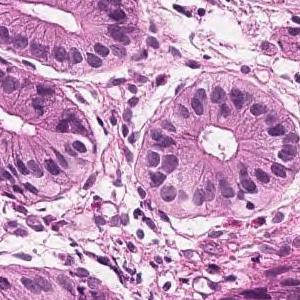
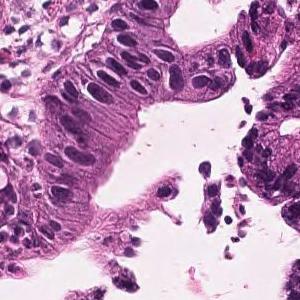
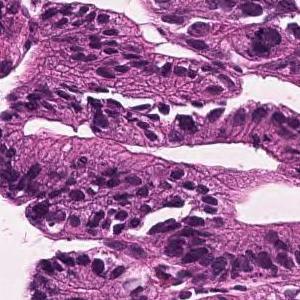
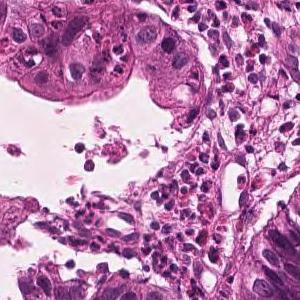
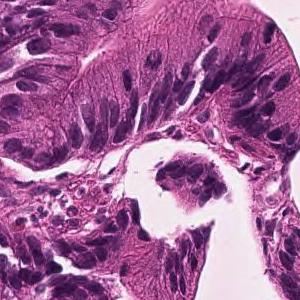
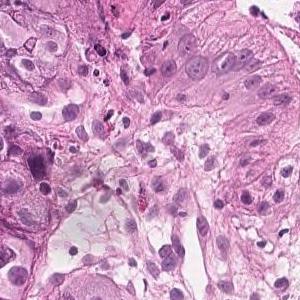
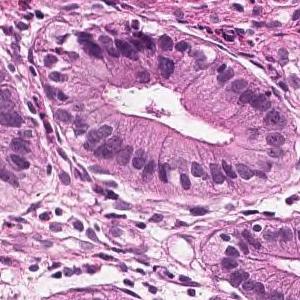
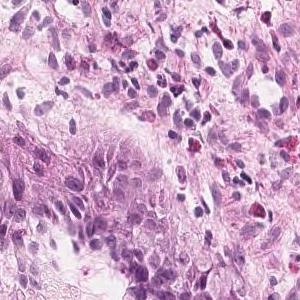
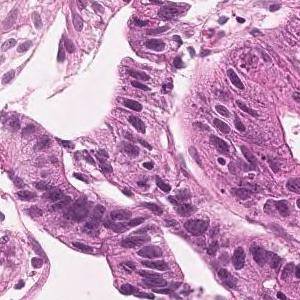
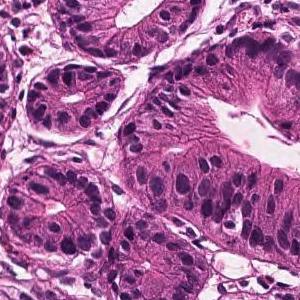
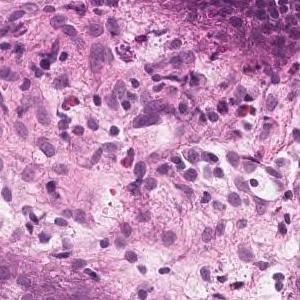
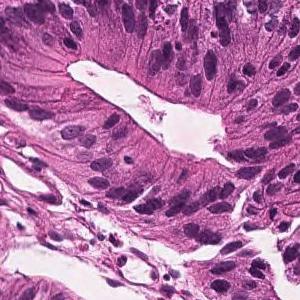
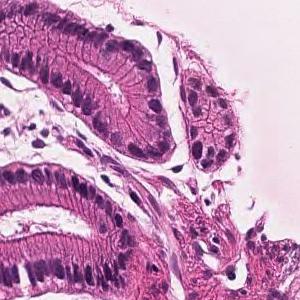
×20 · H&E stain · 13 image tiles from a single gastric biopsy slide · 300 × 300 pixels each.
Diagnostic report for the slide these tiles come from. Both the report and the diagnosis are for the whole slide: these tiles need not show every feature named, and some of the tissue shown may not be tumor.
Tumor tissue consisting of medium-sized and irregular ducts is observed infiltrating in the superficial epithelium. Tumor cells are highly columnar, with nuclei aligned basolaterally and polarized. Well differentiated tubular adenocarcinoma.
